5 patches cut from one gastric biopsy slide, scanned at ×20, H&E.
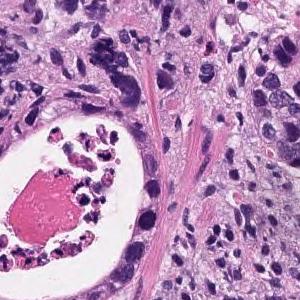
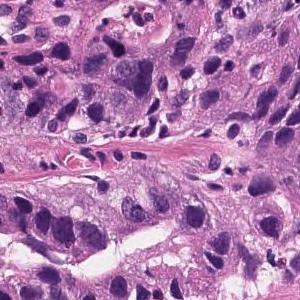
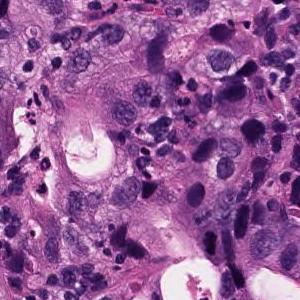
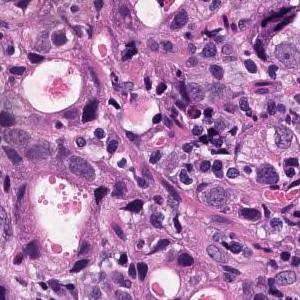
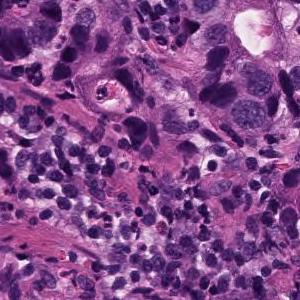
Diagnostic report for the slide these tiles come from. The findings and the diagnosis refer to the entire slide; these tiles show only part of it, possibly with non-tumor tissue, and may not show every feature named.
In the superficial epithelium, tumor tissue that invades by forming medium-sized to small, irregular ducts is observed. Moderately differentiated adenocarcinoma.
Subtype: Moderately differentiated tubular adenocarcinoma.
